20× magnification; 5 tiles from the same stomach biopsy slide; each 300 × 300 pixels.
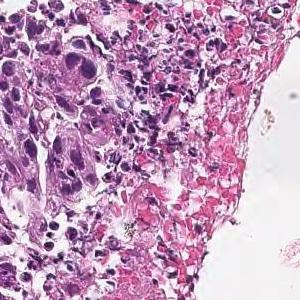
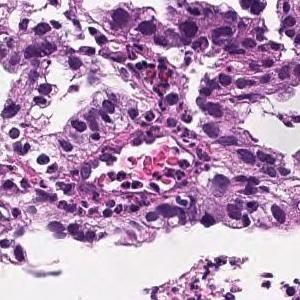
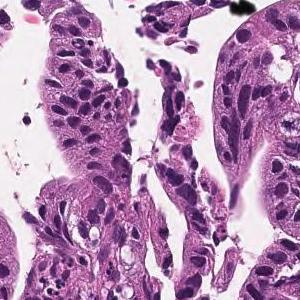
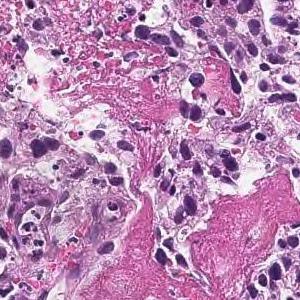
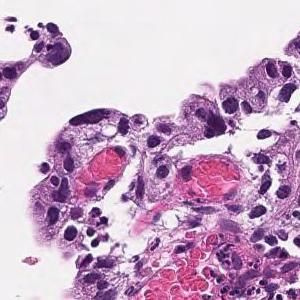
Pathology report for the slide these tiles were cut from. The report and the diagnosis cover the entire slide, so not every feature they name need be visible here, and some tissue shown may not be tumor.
Tumor tissue consisting of medium-sized, cord-like or irregular glandular infiltration is observed in the superficial epithelium. Poorly differentiated adenocarcinoma, non-solid type or moderately differentiated tubular adenocarcinoma
Histologic type: Moderately to poorly differentiated adenocarcinoma.
The non-solid type named here is a Japanese Classification of Gastric Carcinoma category.
